H&E stain, ×20, 8 patches cut from one gastric biopsy slide.
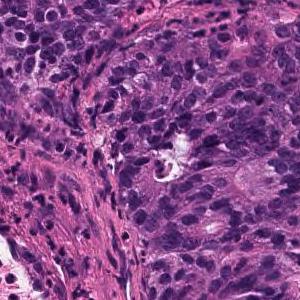
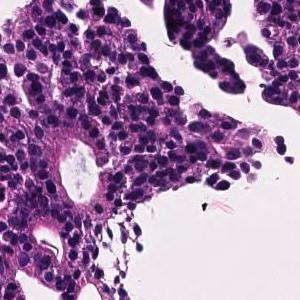
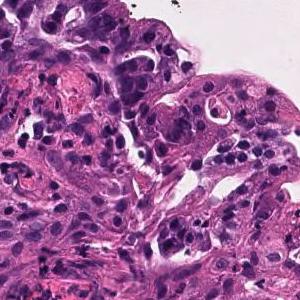
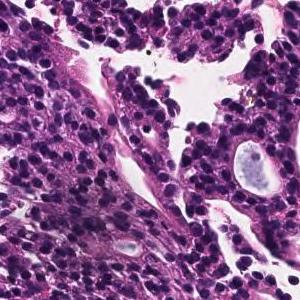
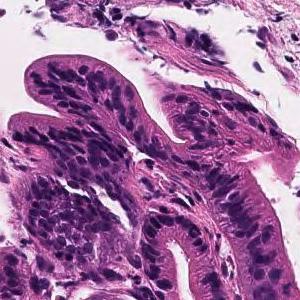
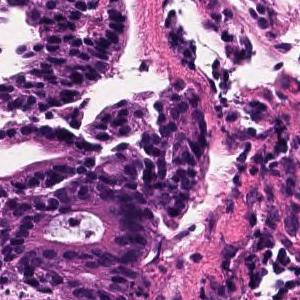
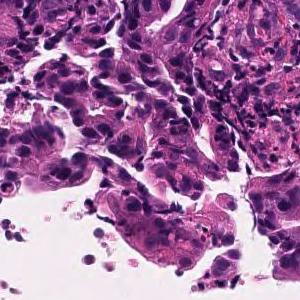
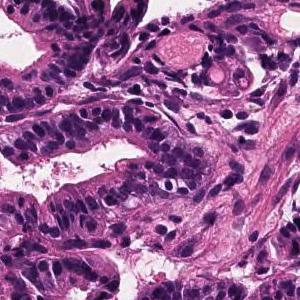
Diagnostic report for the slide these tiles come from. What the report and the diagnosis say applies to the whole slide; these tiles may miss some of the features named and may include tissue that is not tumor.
In the superficial epithelium, tumor tissue that invades by forming medium-sized to small, irregular ducts is observed. Moderately differentiated adenocarcinoma.
Tumor subtype: moderately differentiated tubular adenocarcinoma.
